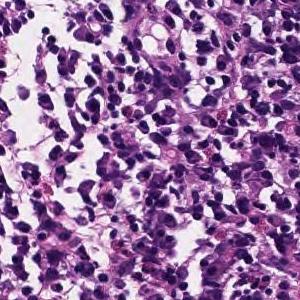
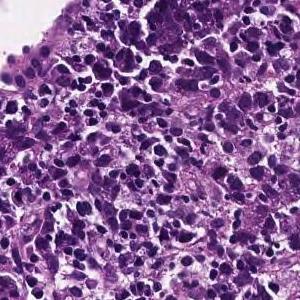
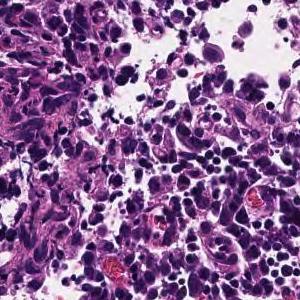
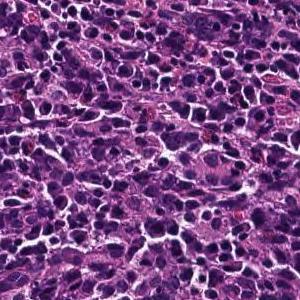
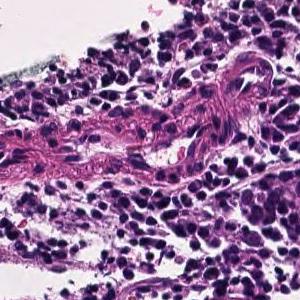
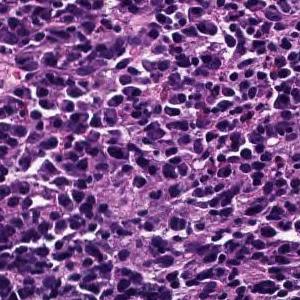
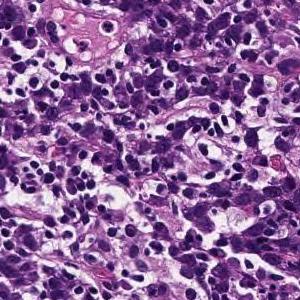
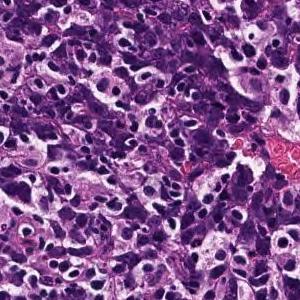
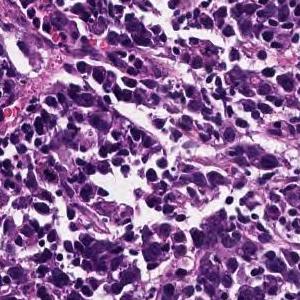
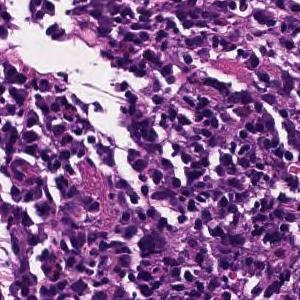
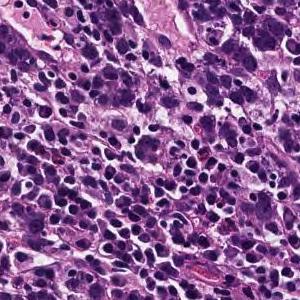
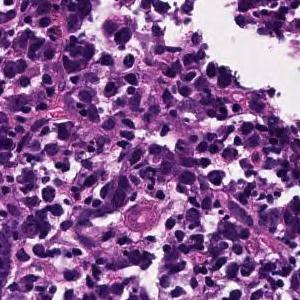
12 tiles from the same stomach biopsy slide; hematoxylin and eosin stain.
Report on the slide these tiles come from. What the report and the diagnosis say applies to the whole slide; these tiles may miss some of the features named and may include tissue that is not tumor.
Tumor tissue consisting of cord-like or small, irregular glandular ducts fused and infiltrated is observed in the superficial epithelium. Poorly differentiated adenocarcinoma, non-solid type
"Non-solid type" is a category of the Japanese Classification of Gastric Carcinoma.
